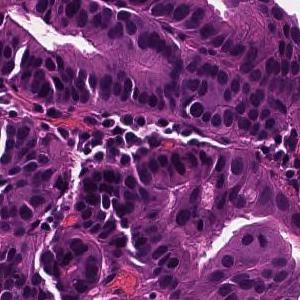
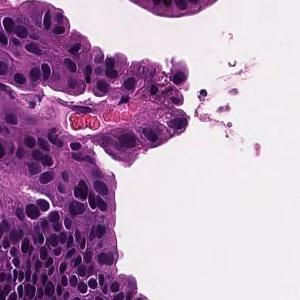
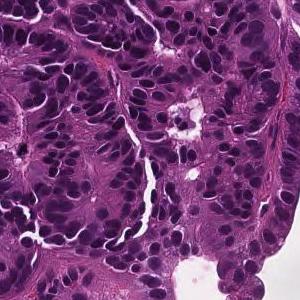
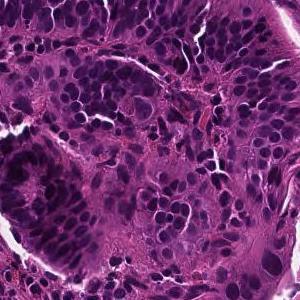
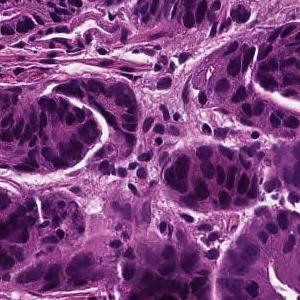
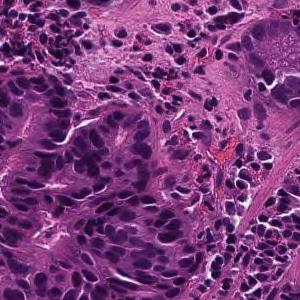
H&E stain, 20× magnification, 6 image tiles from a single gastric biopsy slide.
The pathologist's report on the biopsy slide these tiles were taken from. The report describes the whole slide, diagnosis included: not every finding it names need appear in these tiles, which may also show non-tumor tissue.
From the superficial epithelium to the muscularis mucosae, tumor tissue consisting of medium-sized and irregular glandular ducts infiltrating is observed. Well differentiated tubular adenocarcinoma
